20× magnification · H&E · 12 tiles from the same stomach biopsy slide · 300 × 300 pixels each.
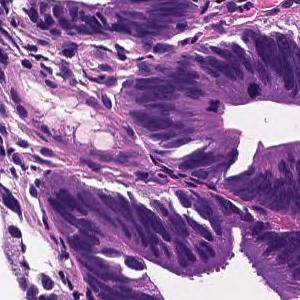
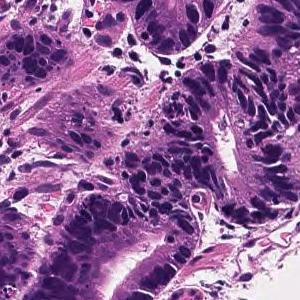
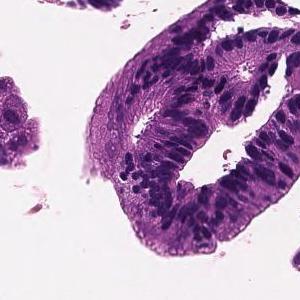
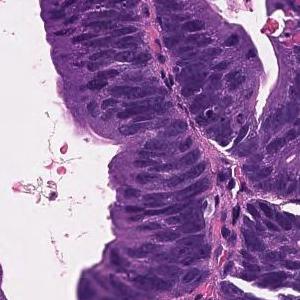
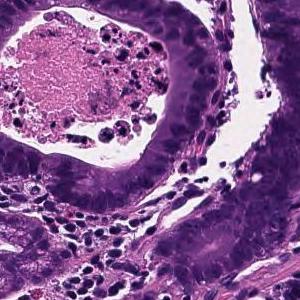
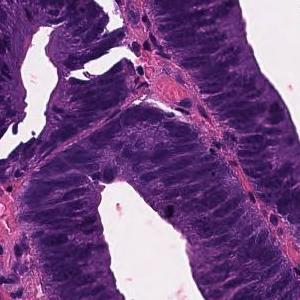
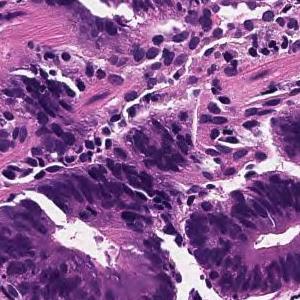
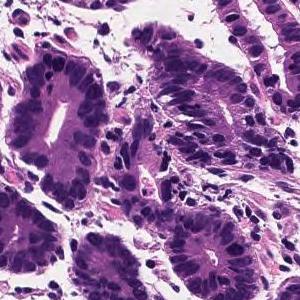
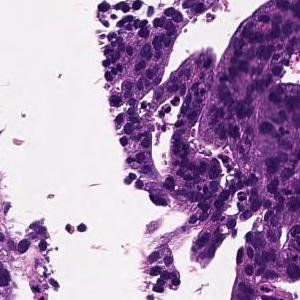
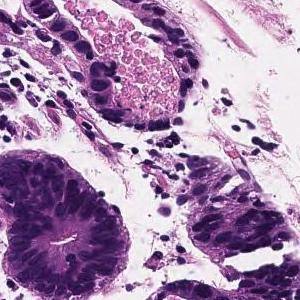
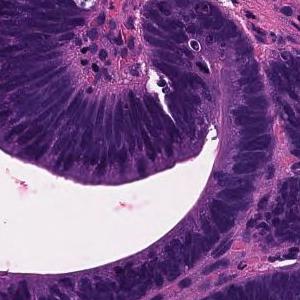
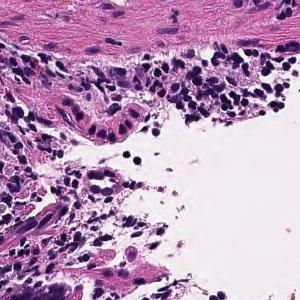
Diagnostic report for the slide these tiles come from. The report describes the whole slide, diagnosis included: not every finding it names need appear in these tiles, which may also show non-tumor tissue.
Tumor tissue consisting of large papillary structures is found in the superficial epithelium. Papillary adenocarcinoma.
